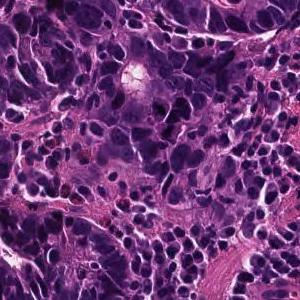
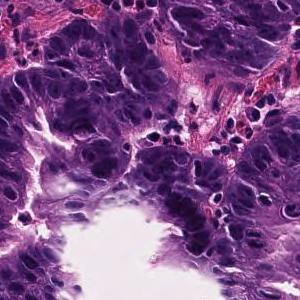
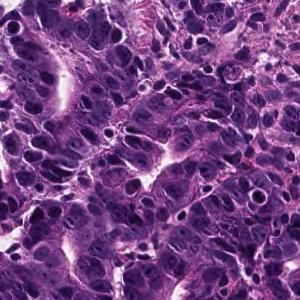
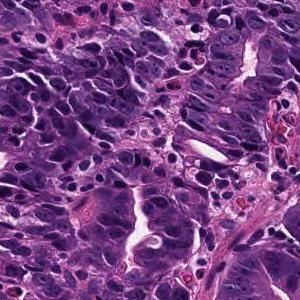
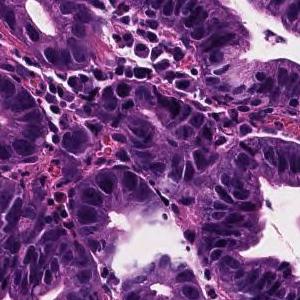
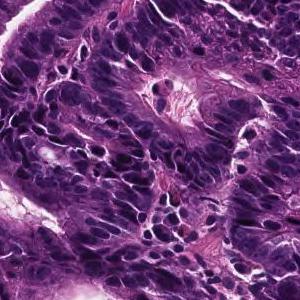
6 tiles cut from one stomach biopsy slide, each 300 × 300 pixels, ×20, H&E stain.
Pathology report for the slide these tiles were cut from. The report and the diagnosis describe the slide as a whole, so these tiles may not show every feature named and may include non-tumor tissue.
On the superficial epithelium, tumor tissue consisting of growth of medium-sized to large-sized, round or irregular glandular ducts is observed. Well differentiated tubular adenocarcinoma
